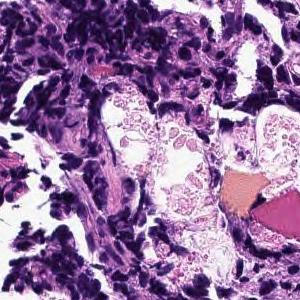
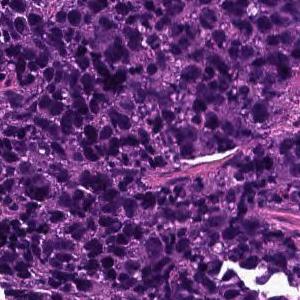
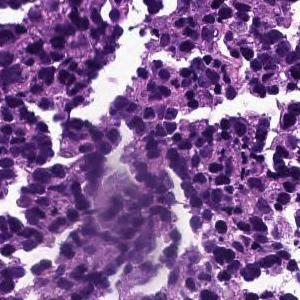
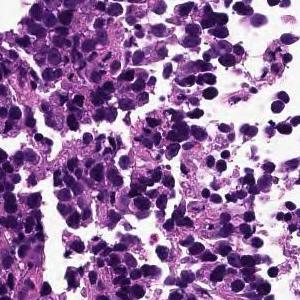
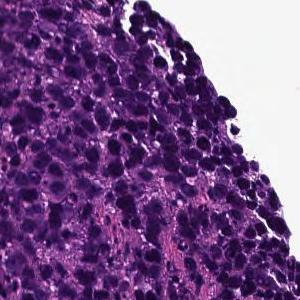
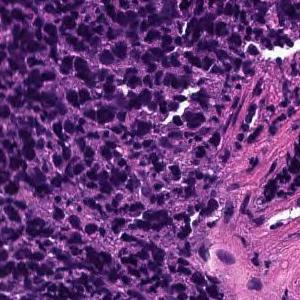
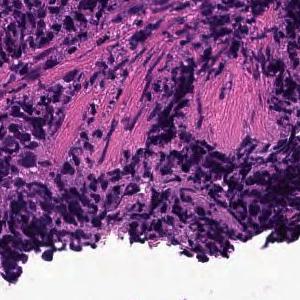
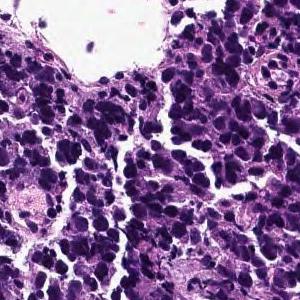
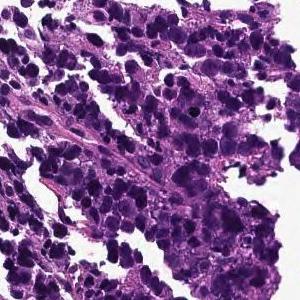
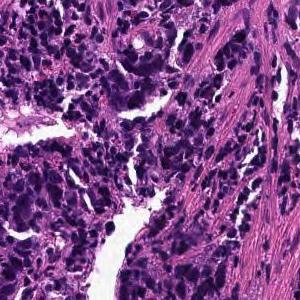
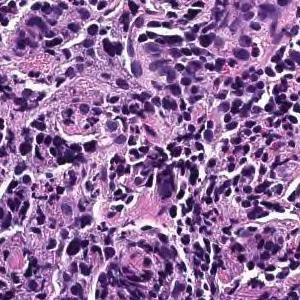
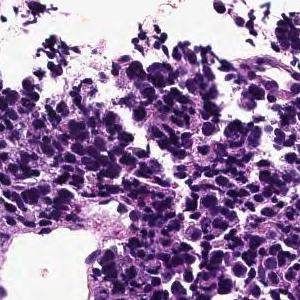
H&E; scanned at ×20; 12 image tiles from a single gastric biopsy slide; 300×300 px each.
Pathology report for the biopsy slide these tiles were cut from. The report describes the whole slide, diagnosis included: not every finding it names need appear in these tiles, which may also show non-tumor tissue.
The superficial epithelium shows large alveolar or sheet-like forms, and some tumor tissue infiltrates with small irregular ducts. Poorly differentiated adenocarcinoma, solid-type
Tumor subtype: poorly differentiated adenocarcinoma, solid type (Japanese Classification of Gastric Carcinoma). The WHO 2019 equivalent is tubular adenocarcinoma, poorly differentiated.
